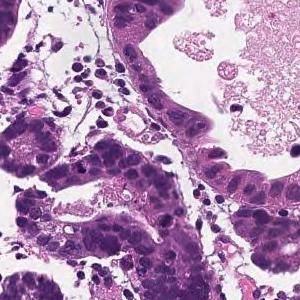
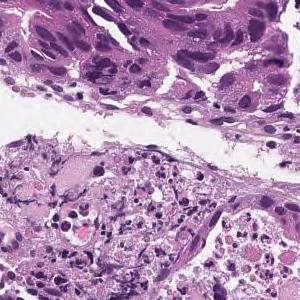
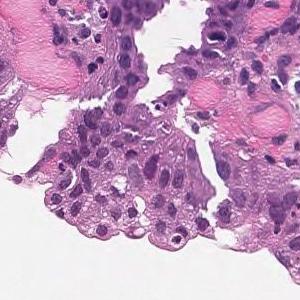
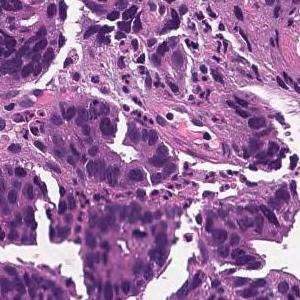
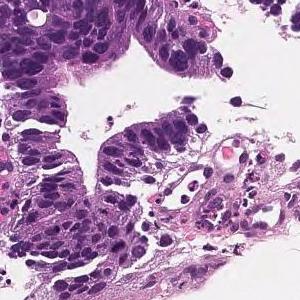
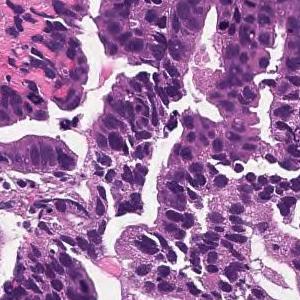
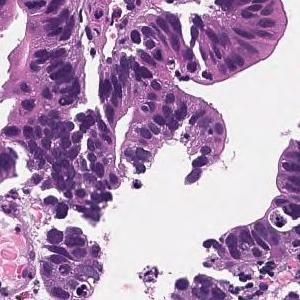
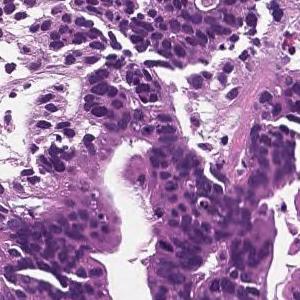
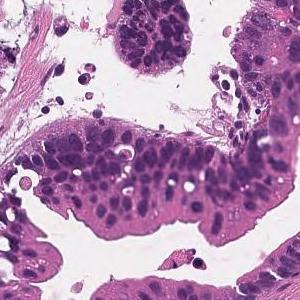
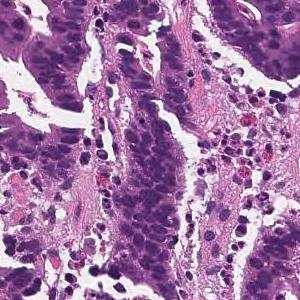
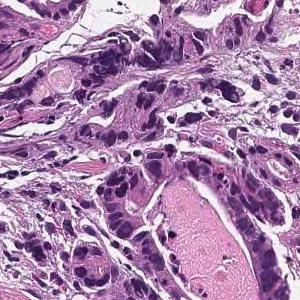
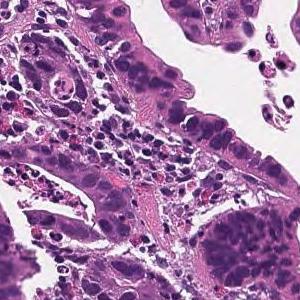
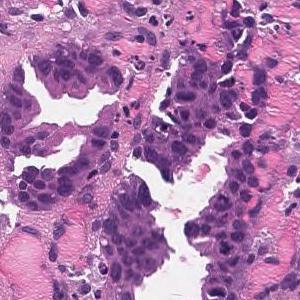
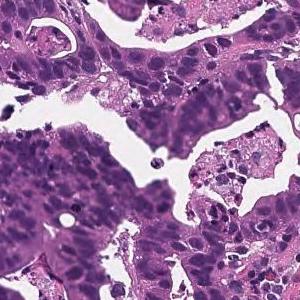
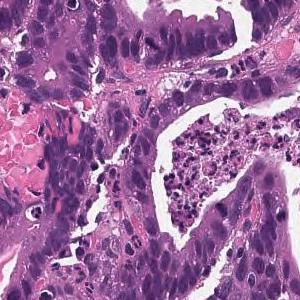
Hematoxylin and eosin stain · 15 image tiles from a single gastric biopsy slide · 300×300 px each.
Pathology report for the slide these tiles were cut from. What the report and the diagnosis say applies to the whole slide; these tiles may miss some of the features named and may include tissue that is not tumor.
In the superficial epithelium, tumor tissue that invades by forming medium-sized to small, irregular ducts is observed. moderately differentiated tubular adenocarcinoma.
